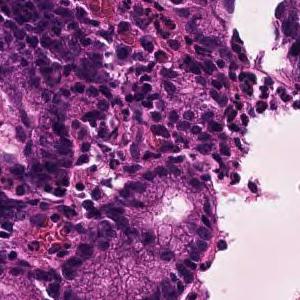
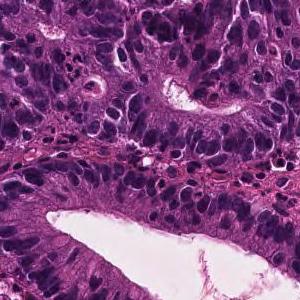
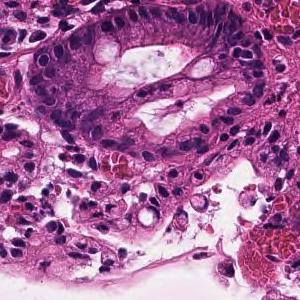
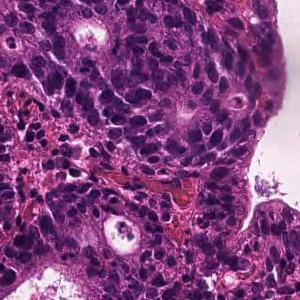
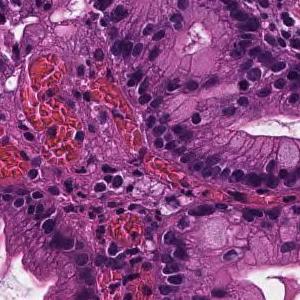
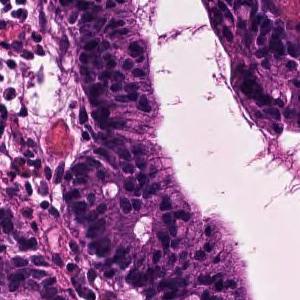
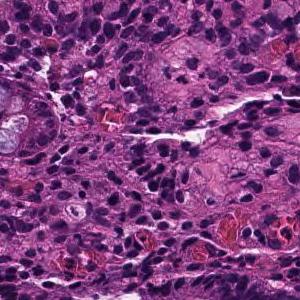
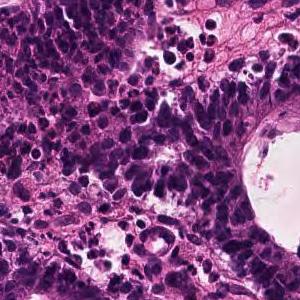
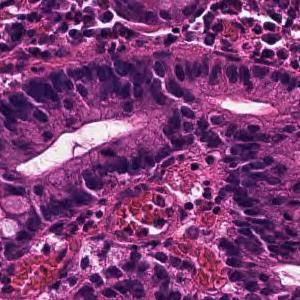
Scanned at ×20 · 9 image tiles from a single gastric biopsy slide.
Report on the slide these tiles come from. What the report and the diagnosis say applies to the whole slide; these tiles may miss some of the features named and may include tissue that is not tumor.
In the superficial epithelium, tumor tissue that invades by forming medium-sized to small, irregular ducts is observed. moderately differentiated tubular adenocarcinoma.
